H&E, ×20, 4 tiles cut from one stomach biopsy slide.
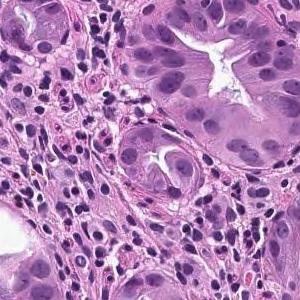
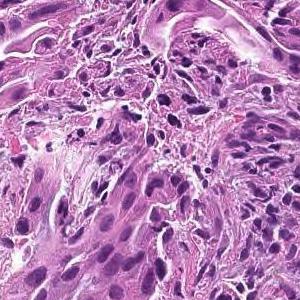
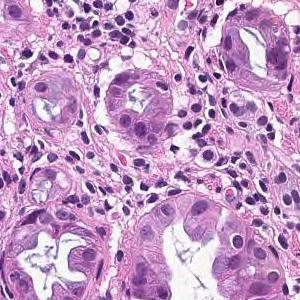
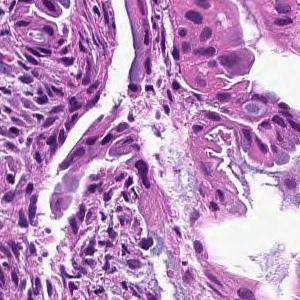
Diagnostic report for the slide these tiles come from. The findings and the diagnosis refer to the entire slide; these tiles show only part of it, possibly with non-tumor tissue, and may not show every feature named.
From the superficial epithelium to the muscularis mucosae, tumor tissue consisting of medium-sized and irregular glandular ducts infiltrating is observed. Well differentiated tubular adenocarcinoma
